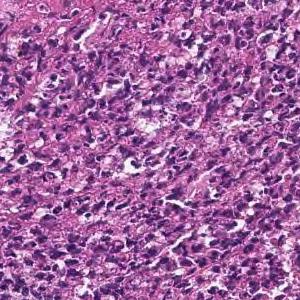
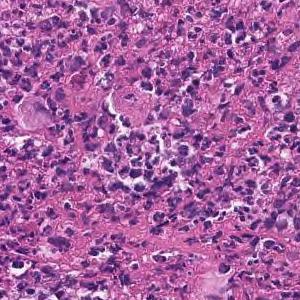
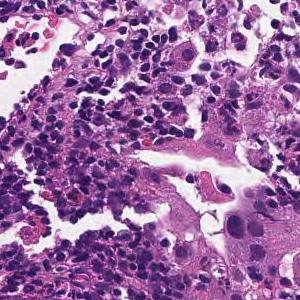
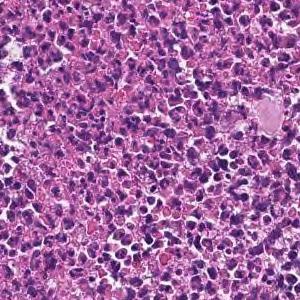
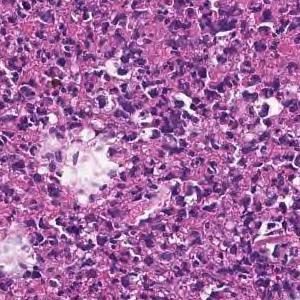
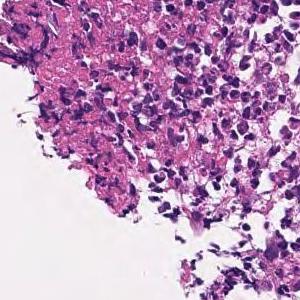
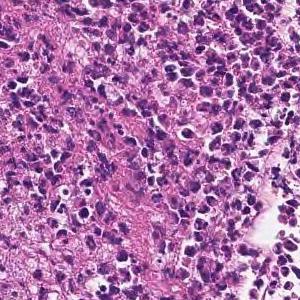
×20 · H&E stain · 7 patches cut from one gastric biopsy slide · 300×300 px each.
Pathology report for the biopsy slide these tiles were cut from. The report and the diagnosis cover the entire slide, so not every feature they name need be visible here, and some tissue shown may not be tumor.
In the superficial epithelium, tumor tissue infiltrated by partial fusion of medium-sized to small, irregular glandular ducts is observed. moderately differentiated tubular adenocarcinoma
